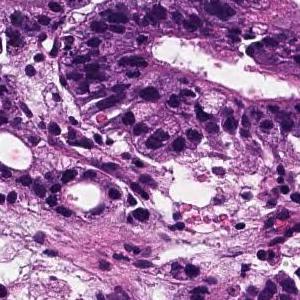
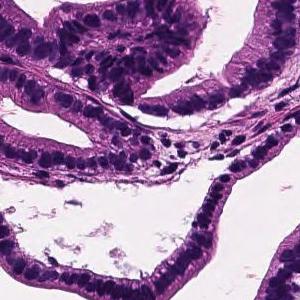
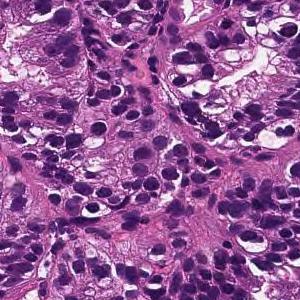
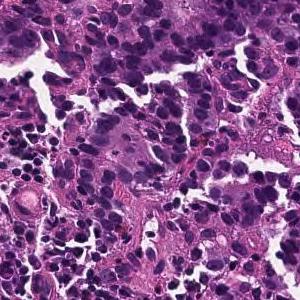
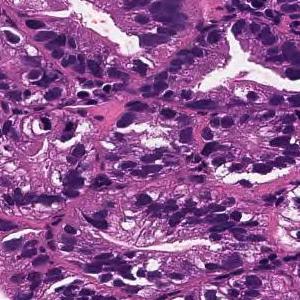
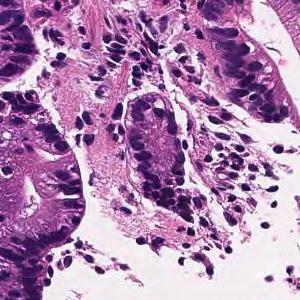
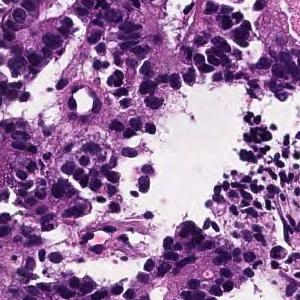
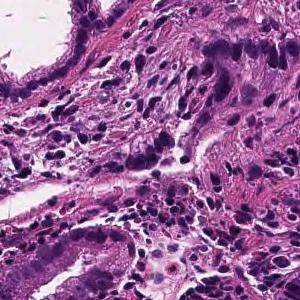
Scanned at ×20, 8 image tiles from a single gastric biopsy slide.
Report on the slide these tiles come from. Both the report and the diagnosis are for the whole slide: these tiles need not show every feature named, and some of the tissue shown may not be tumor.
From the superficial epithelium to the muscularis mucosae, tumor tissue consisting of medium-sized and irregular glandular ducts infiltrating is observed. Well differentiated tubular adenocarcinoma
